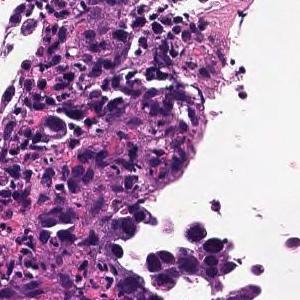
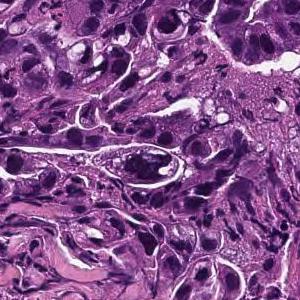
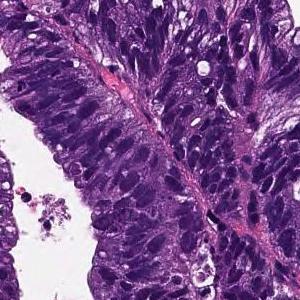
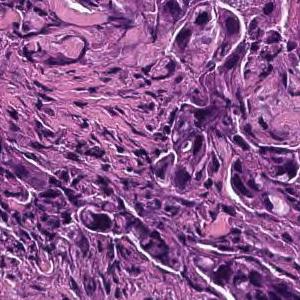
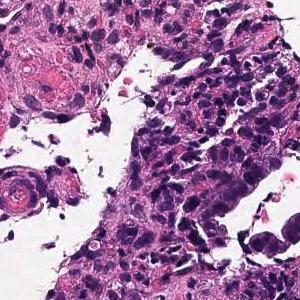
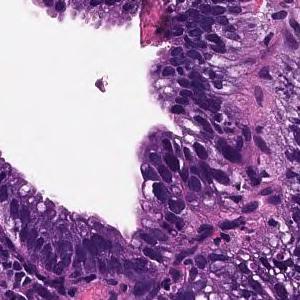
×20 · 6 tiles cut from one stomach biopsy slide · 300×300 px each.
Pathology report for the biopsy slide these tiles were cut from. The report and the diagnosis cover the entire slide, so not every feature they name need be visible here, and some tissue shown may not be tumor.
Tumor cells are large, highly columnar, large club-shaped nuclei, and are associated with chromatin aggregation. Papillary adenocarcinoma.
